Hematoxylin and eosin stain, 12 patches cut from one gastric biopsy slide, each 300 × 300 pixels.
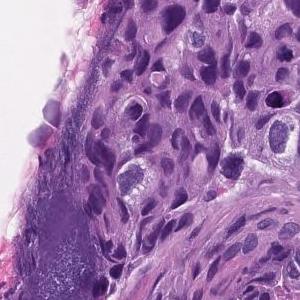
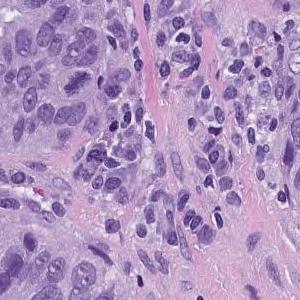
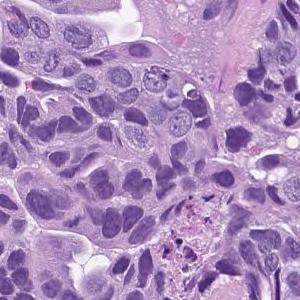
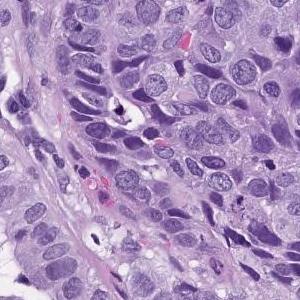
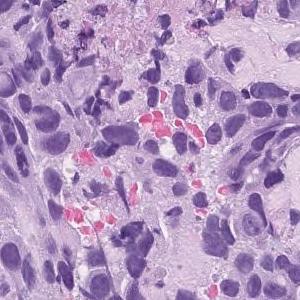
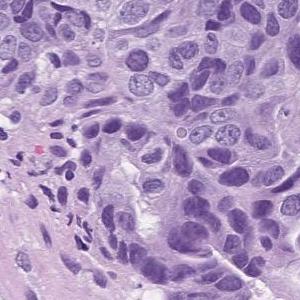
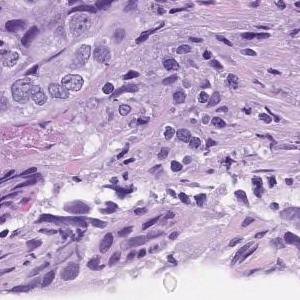
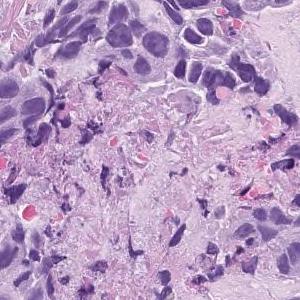
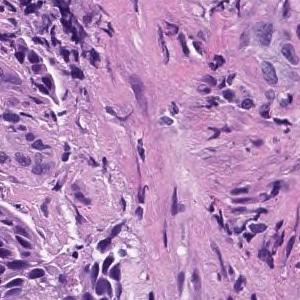
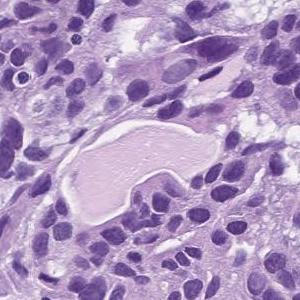
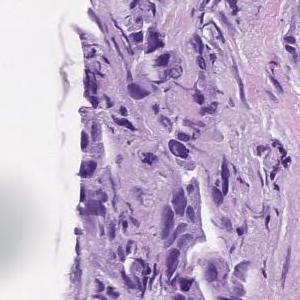
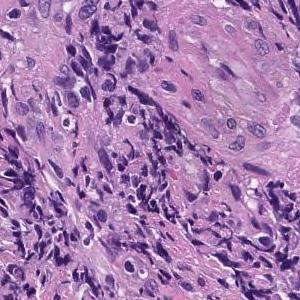
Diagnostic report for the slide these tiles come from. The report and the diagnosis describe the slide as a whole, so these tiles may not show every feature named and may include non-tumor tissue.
In the superficial epithelium, tumor tissue that invades by forming medium-sized to small, irregular ducts is observed. moderately differentiated tubular adenocarcinoma.
